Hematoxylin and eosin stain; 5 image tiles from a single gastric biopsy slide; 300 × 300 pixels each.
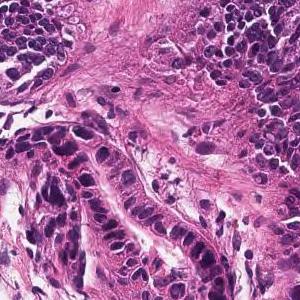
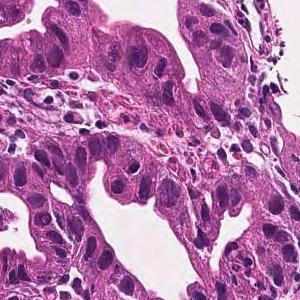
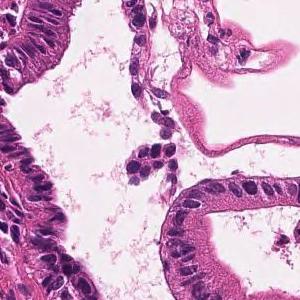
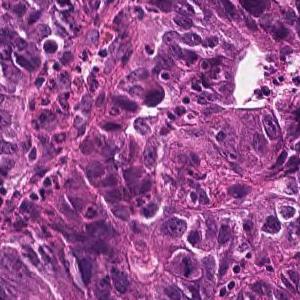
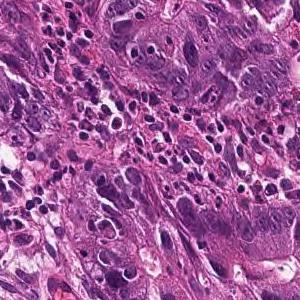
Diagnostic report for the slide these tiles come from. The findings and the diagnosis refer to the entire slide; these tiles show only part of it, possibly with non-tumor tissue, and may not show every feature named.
In the superficial epithelium, tumor tissue that invades by forming medium-sized to small, irregular ducts is observed. moderately differentiated tubular adenocarcinoma.
